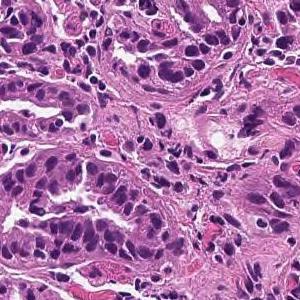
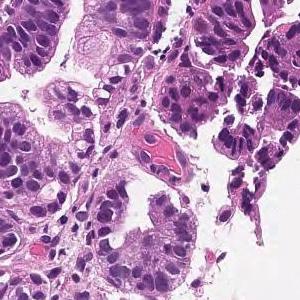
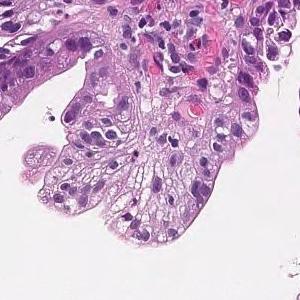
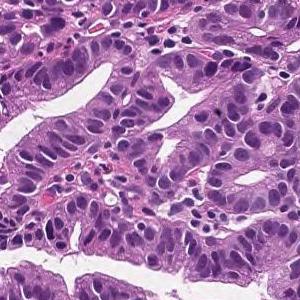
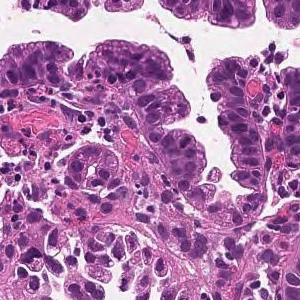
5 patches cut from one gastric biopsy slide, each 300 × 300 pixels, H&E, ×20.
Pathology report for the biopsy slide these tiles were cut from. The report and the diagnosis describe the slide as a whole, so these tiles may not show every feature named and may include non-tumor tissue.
On the superficial epithelium, tumor tissue consisting of large irregular glandular ducts partially fused and infiltrated is observed. Well to moderately differentiated tubular adenocarcinoma (well differentiated tubular adenocarcinoma, moderately differentiated tubular adenocarcinoma)
Histological subtype: Well to moderately differentiated tubular adenocarcinoma.
